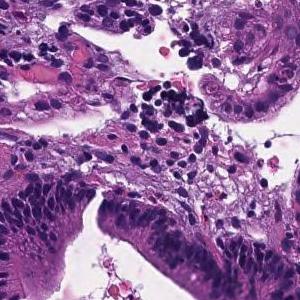
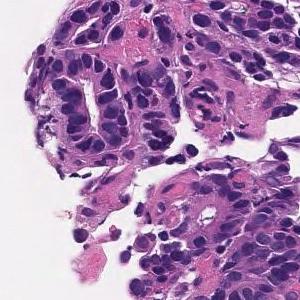
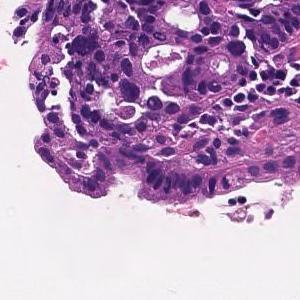
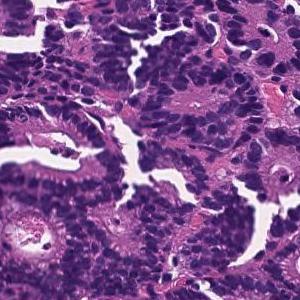
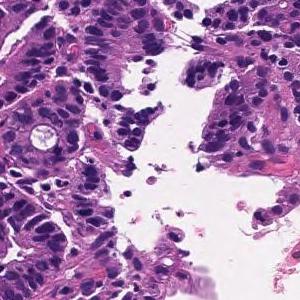
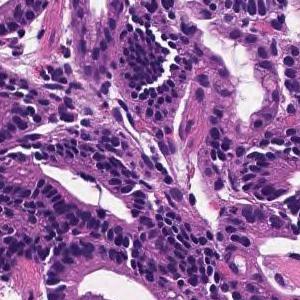
Hematoxylin and eosin stain · 6 tiles cut from one stomach biopsy slide.
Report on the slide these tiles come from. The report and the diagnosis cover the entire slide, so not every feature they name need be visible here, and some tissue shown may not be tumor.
From the superficial epithelium to the muscularis mucosae, tumor tissue consisting of medium-sized and irregular glandular ducts infiltrating is observed. Well differentiated tubular adenocarcinoma
